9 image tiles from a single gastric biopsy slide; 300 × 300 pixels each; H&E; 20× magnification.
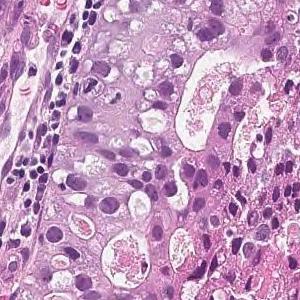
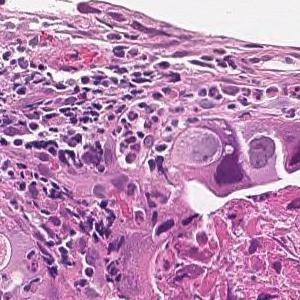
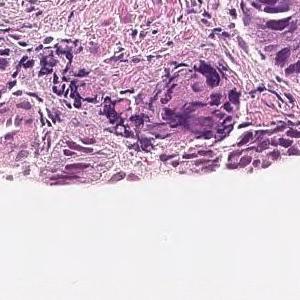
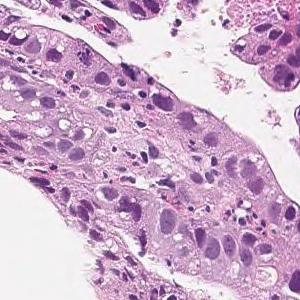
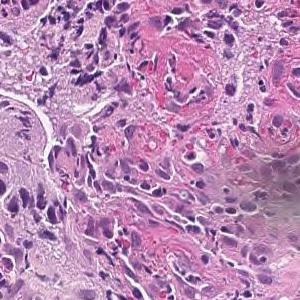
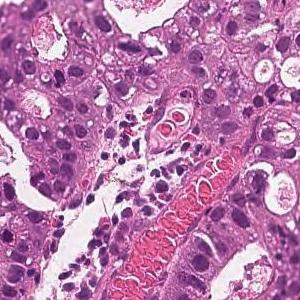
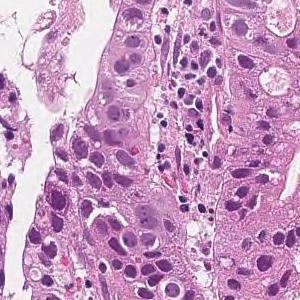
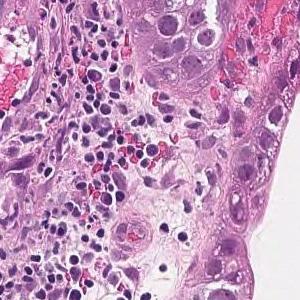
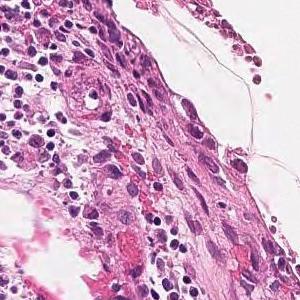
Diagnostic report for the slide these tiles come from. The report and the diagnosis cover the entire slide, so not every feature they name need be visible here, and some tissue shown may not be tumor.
In the superficial epithelium, tumor tissue that invades by forming medium-sized to small, irregular ducts is observed. moderately differentiated tubular adenocarcinoma.
